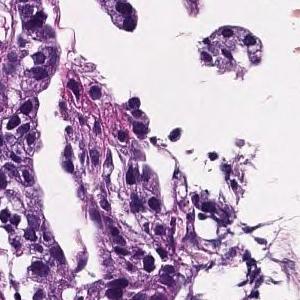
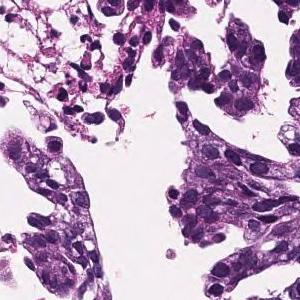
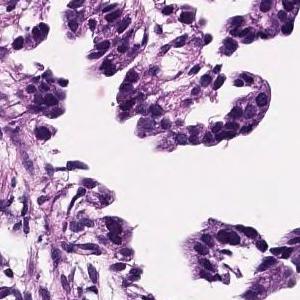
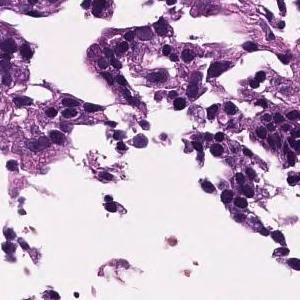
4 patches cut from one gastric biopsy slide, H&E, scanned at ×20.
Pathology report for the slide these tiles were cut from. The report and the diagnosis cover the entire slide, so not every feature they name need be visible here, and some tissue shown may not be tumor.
In the lamina propria, tumor tissue that invades by forming medium-sized to small, irregular glandular ducts is observed. moderately differentiated tubular adenocarcinoma
